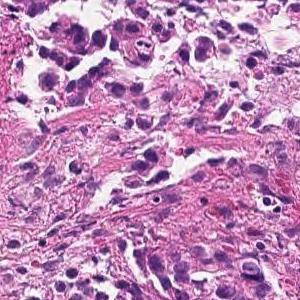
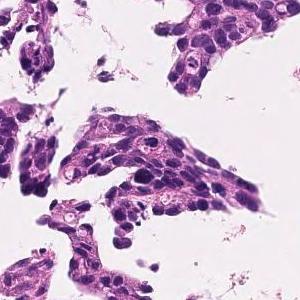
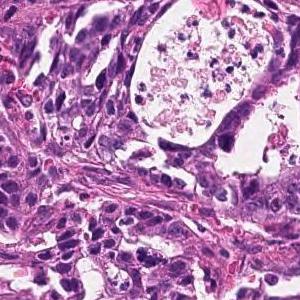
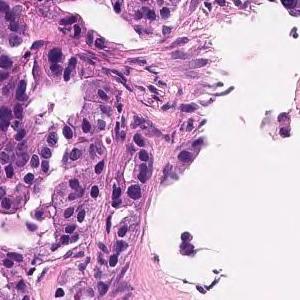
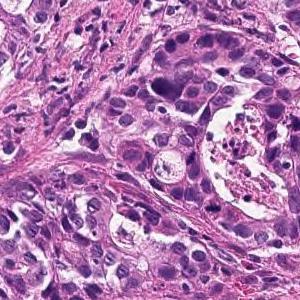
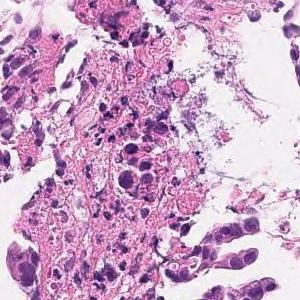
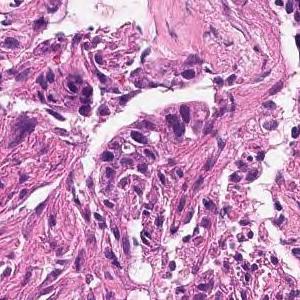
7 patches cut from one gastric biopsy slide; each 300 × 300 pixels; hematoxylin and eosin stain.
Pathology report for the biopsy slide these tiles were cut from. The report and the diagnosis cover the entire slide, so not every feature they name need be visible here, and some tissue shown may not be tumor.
On the superficial epithelium, tumor tissue consisting of images of small to medium-sized and irregular tubules infiltrating with irregular fusion is observed. moderately differentiated tubular adenocarcinoma
